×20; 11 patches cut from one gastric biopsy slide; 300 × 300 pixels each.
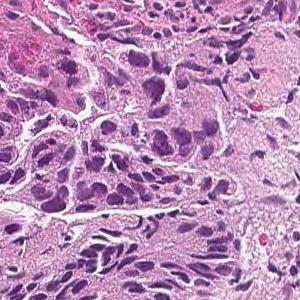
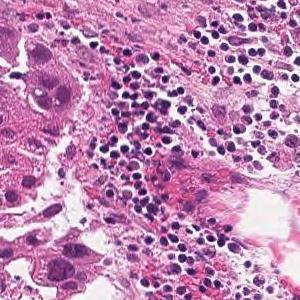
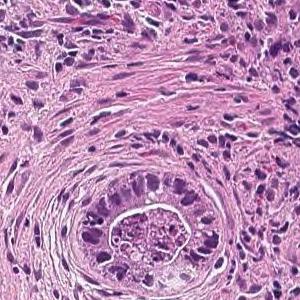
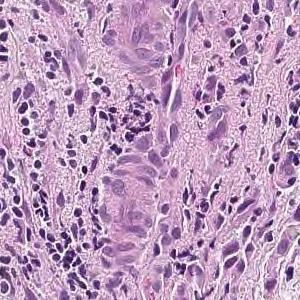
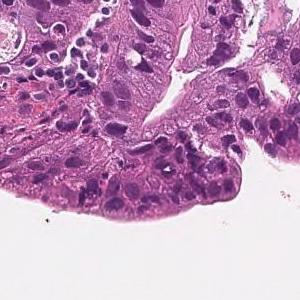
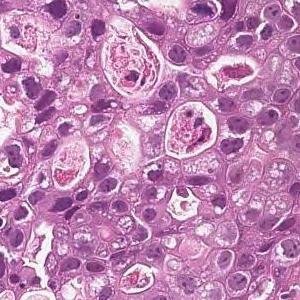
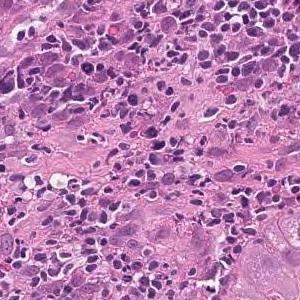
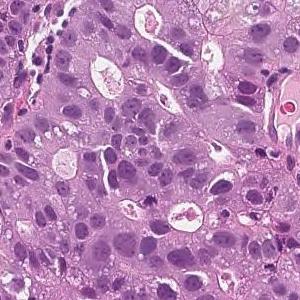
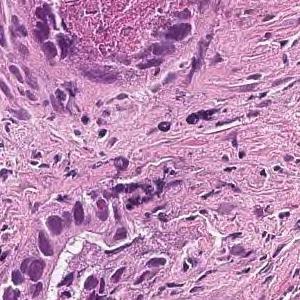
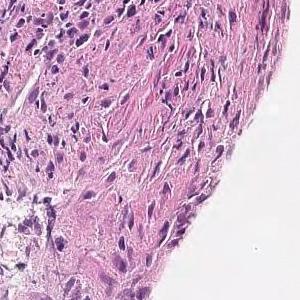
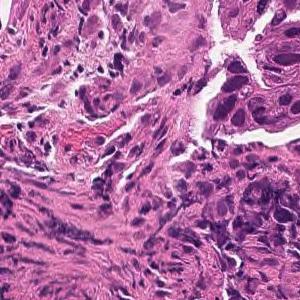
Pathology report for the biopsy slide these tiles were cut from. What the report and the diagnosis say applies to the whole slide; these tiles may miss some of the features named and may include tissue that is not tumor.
In the superficial epithelium, tumor tissue that invades by forming medium-sized to small, irregular ducts is observed. moderately differentiated tubular adenocarcinoma.
